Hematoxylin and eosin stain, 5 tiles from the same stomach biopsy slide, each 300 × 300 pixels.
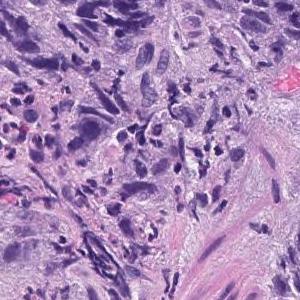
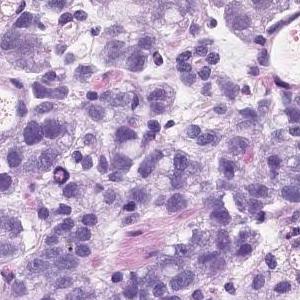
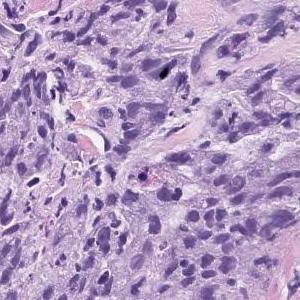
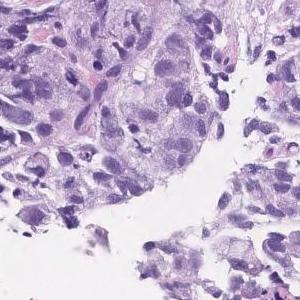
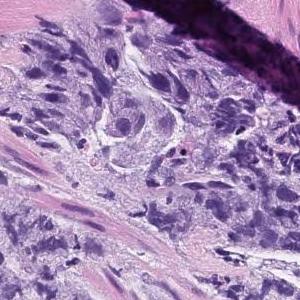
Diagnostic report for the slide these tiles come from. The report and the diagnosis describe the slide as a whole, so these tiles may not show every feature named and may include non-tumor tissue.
Atypical l cells with atypical nuclei forming solid vesicles or small irregular atypical ducts that proliferate in a complex manner. poorly differentiated adenocarcinoma, solid type, moderately differentiated tubular adenocarcinoma
The term "solid type" comes from the Japanese Classification of Gastric Carcinoma; the WHO 2019 equivalent is tubular adenocarcinoma, poorly differentiated.
